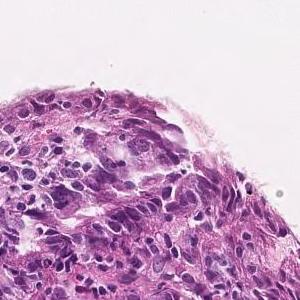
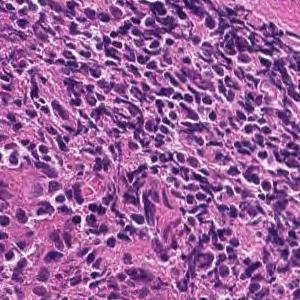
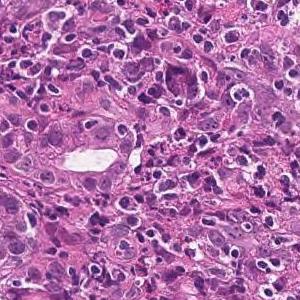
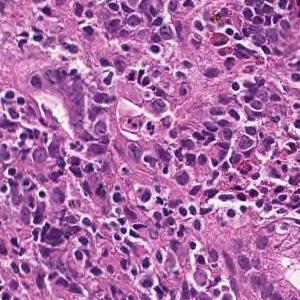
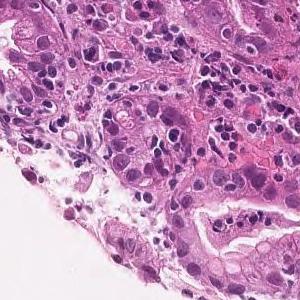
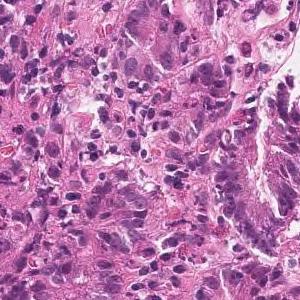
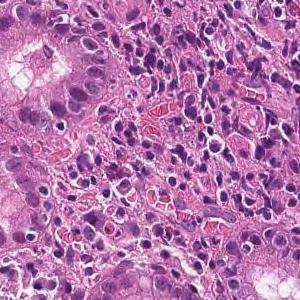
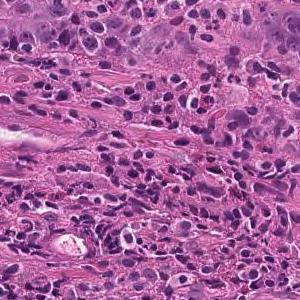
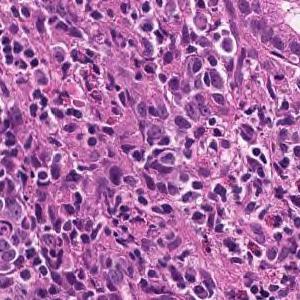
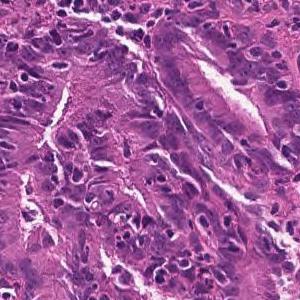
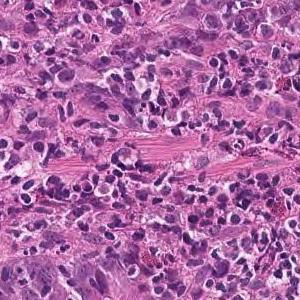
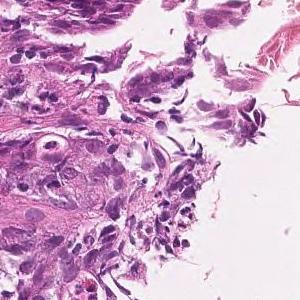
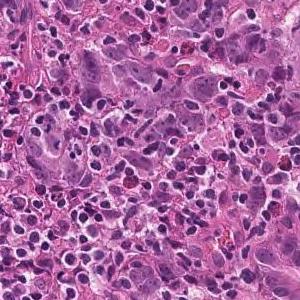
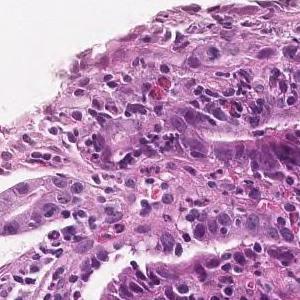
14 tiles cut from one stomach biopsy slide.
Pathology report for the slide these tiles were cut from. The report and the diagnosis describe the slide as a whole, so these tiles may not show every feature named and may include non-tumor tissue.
Tumor tissue consisting of medium-sized, cord-like or irregular glandular infiltration is observed in the superficial epithelium. Poorly differentiated adenocarcinoma, non-solid type or moderately differentiated tubular adenocarcinoma
Labeled in the dataset as poorly differentiated adenocarcinoma, non-solid type.
"Non-solid type" is a category of the Japanese Classification of Gastric Carcinoma.
